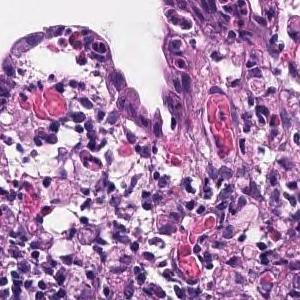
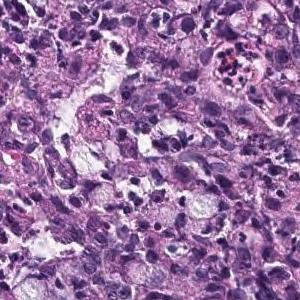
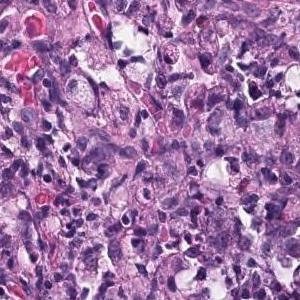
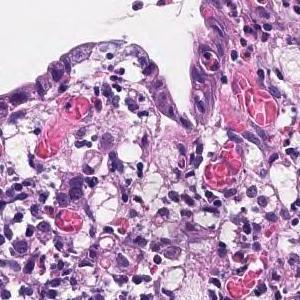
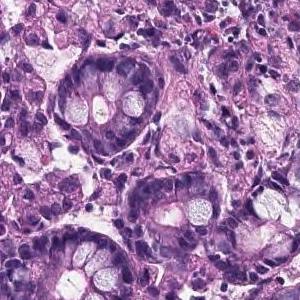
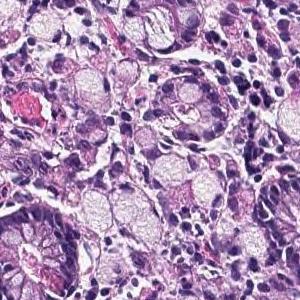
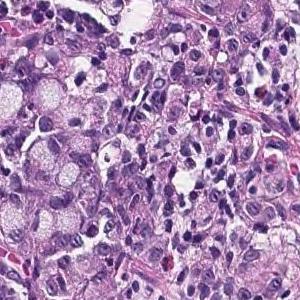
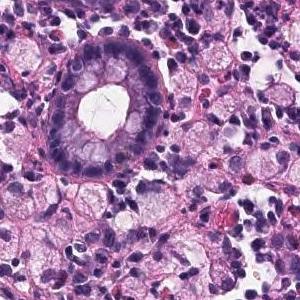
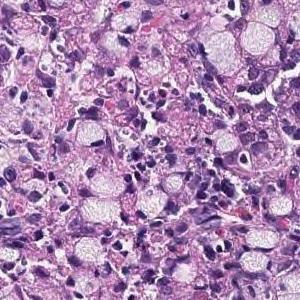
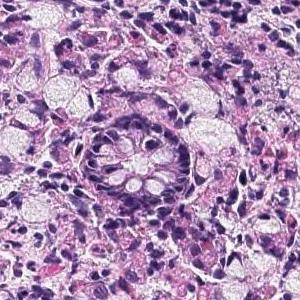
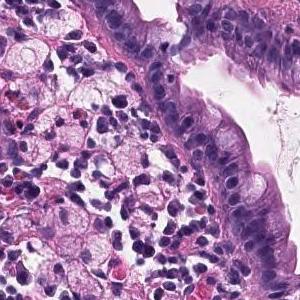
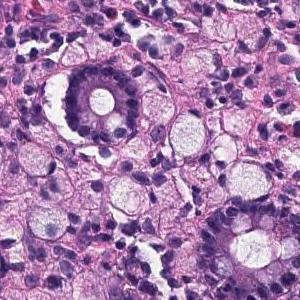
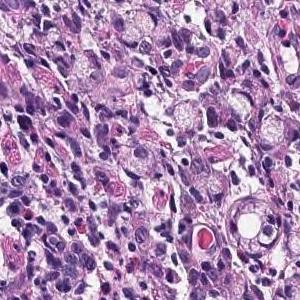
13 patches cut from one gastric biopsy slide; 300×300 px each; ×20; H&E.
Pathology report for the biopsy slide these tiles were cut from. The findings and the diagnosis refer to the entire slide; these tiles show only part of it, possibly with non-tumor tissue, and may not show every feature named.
A tumor tissue consisting of signet ring cell carcinoma cells is observed in the lamina propria. Signet ring cell carcinoma.
